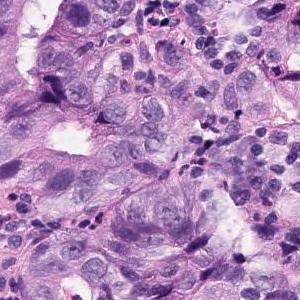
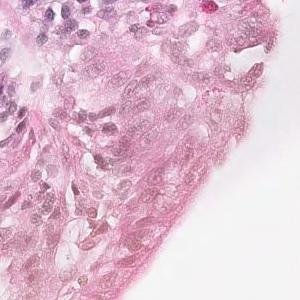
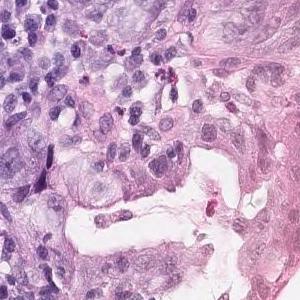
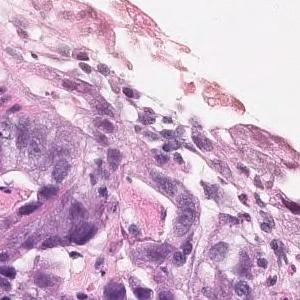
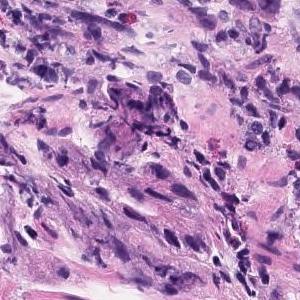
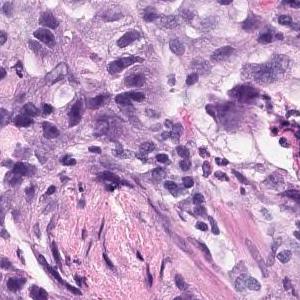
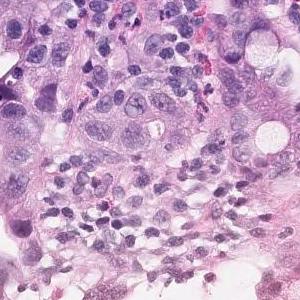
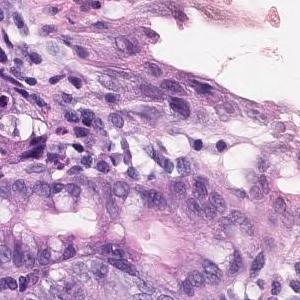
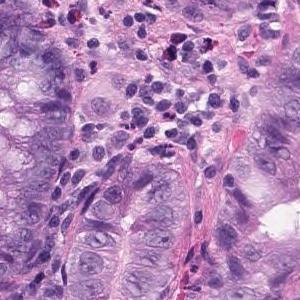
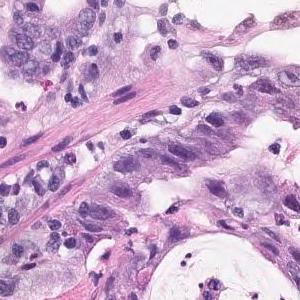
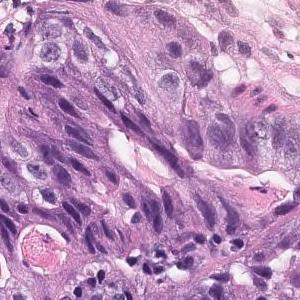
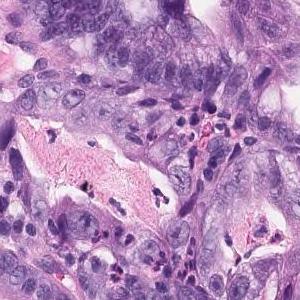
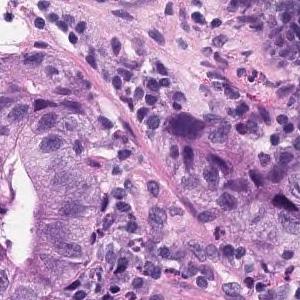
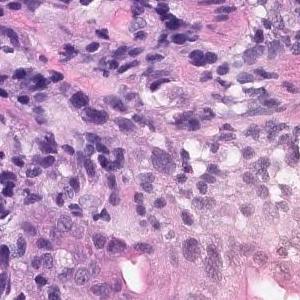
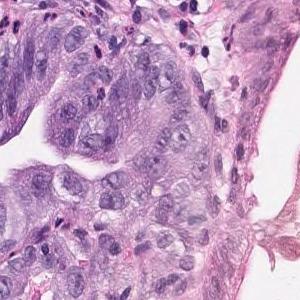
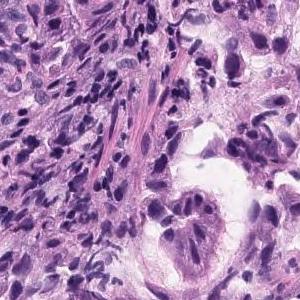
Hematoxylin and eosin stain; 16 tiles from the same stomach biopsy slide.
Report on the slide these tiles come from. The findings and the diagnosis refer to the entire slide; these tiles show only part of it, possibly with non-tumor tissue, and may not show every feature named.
In the superficial epithelium, tumor tissue that invades by forming medium-sized to small irregular glandular ducts is observed. Moderately differentiated adenocarcinoma.
Tumor subtype: moderately differentiated tubular adenocarcinoma.
